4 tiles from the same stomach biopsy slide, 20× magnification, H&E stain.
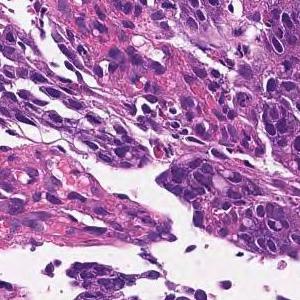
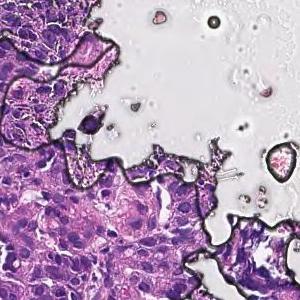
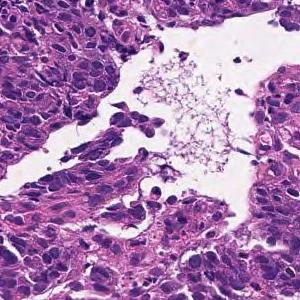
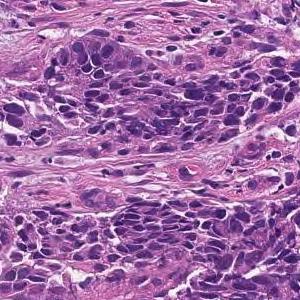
Diagnostic report for the slide these tiles come from. The report and the diagnosis cover the entire slide, so not every feature they name need be visible here, and some tissue shown may not be tumor.
Tumor tissue consisting of cord-like or small, irregular glandular ducts fused and infiltrated is observed in the superficial epithelium. Poorly differentiated adenocarcinoma, non-solid type
The term "non-solid type" comes from the Japanese Classification of Gastric Carcinoma.
